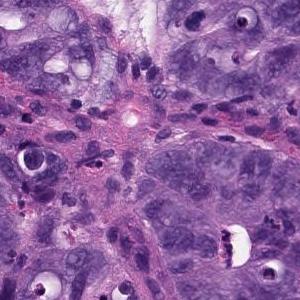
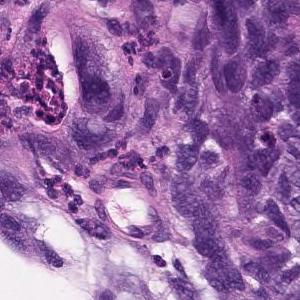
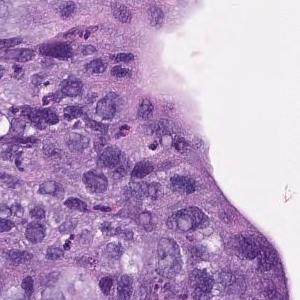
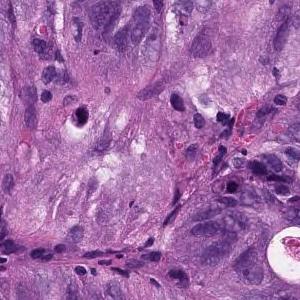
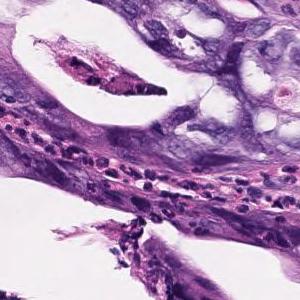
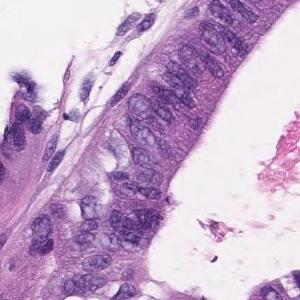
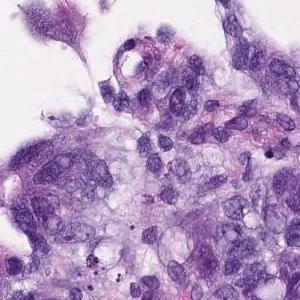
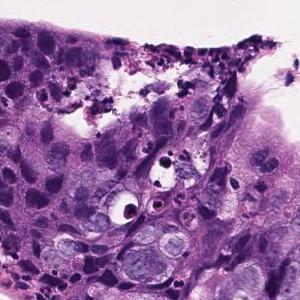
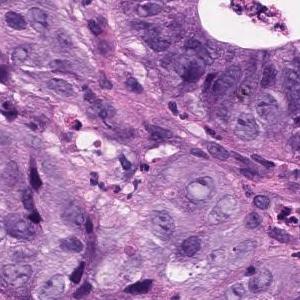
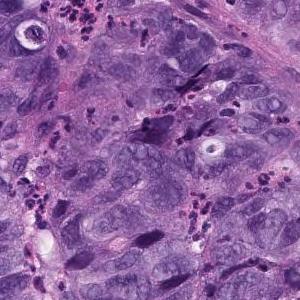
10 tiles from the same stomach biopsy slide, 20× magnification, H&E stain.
The pathologist's report on the biopsy slide these tiles were taken from. Both the report and the diagnosis are for the whole slide: these tiles need not show every feature named, and some of the tissue shown may not be tumor.
In the superficial epithelium, tumor tissue that invades by forming medium-sized to small, irregular ducts is observed. Moderately differentiated adenocarcinoma.
Histological subtype: Moderately differentiated tubular adenocarcinoma.
